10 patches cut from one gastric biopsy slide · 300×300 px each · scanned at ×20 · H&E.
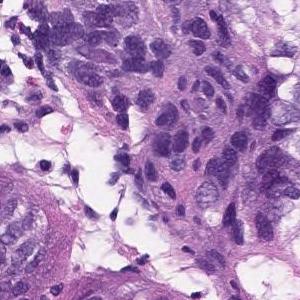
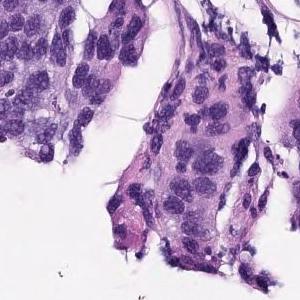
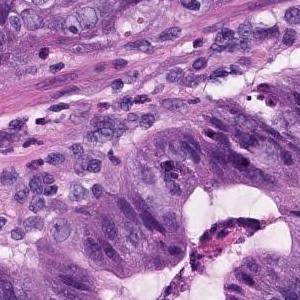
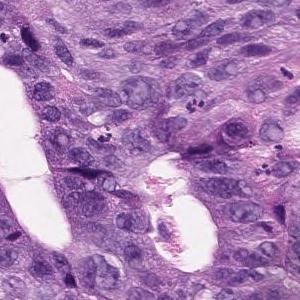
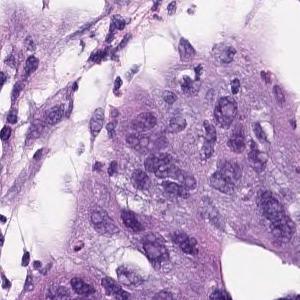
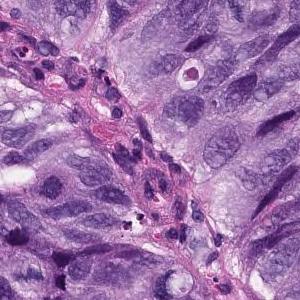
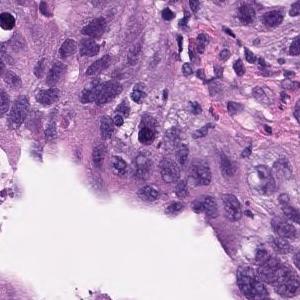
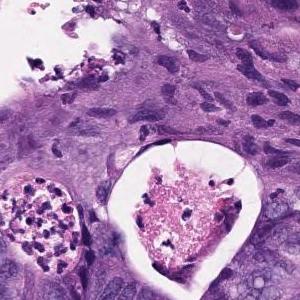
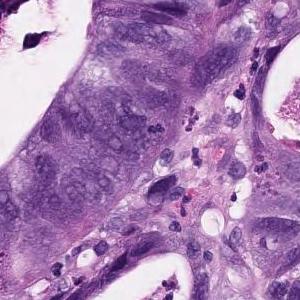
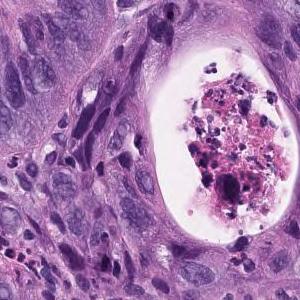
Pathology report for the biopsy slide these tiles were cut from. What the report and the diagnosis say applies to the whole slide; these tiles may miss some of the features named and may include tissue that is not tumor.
In the superficial epithelium, tumor tissue that invades by forming medium-sized to small, irregular ducts is observed. Moderately differentiated adenocarcinoma.
Tumor subtype: moderately differentiated tubular adenocarcinoma.
